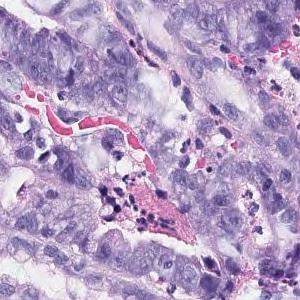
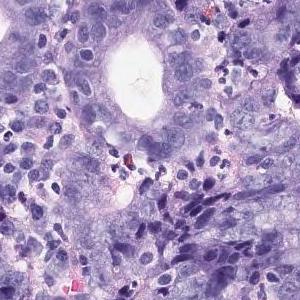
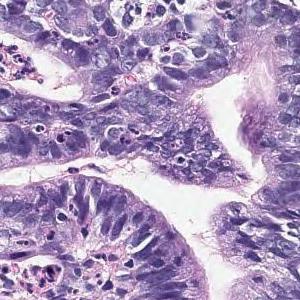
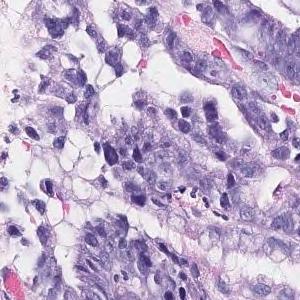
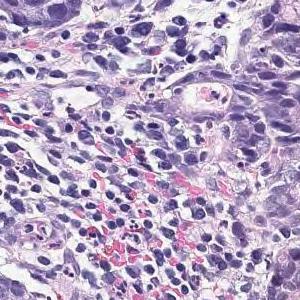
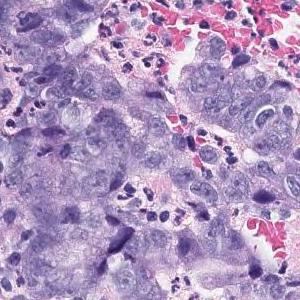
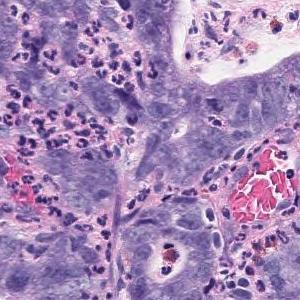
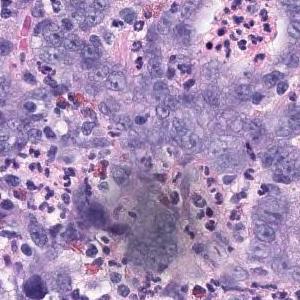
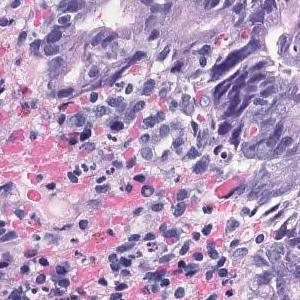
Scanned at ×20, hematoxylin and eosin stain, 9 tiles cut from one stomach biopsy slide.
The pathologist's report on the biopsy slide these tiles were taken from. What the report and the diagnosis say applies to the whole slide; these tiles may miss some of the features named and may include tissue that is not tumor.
In the superficial epithelium, tumor tissue that invades by forming medium-sized to small, irregular ducts is observed. Moderately differentiated adenocarcinoma.
Classified as moderately differentiated tubular adenocarcinoma.
